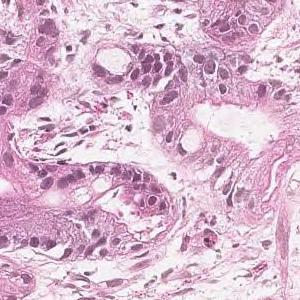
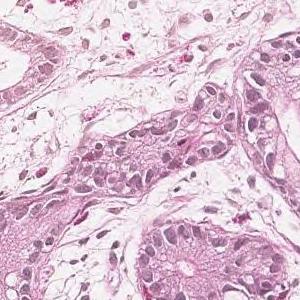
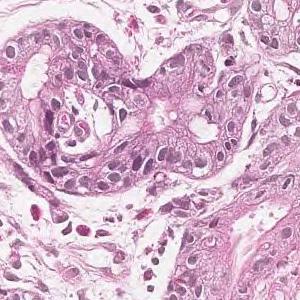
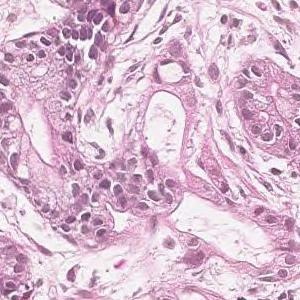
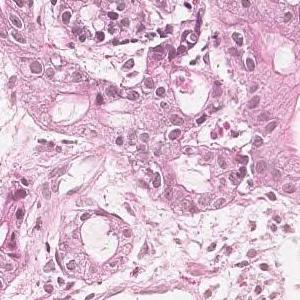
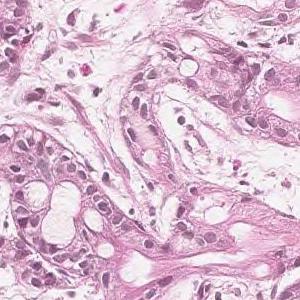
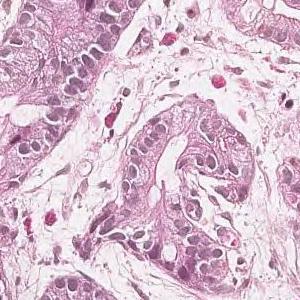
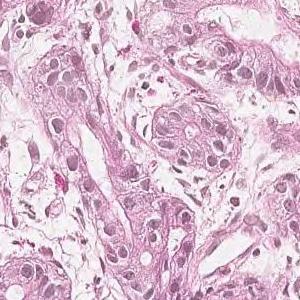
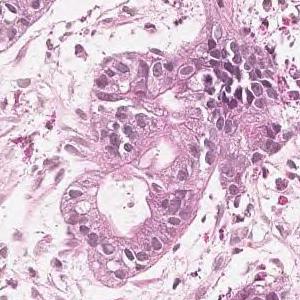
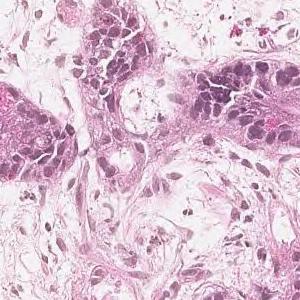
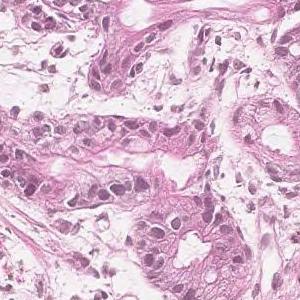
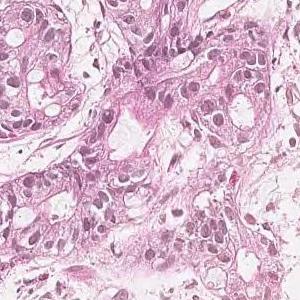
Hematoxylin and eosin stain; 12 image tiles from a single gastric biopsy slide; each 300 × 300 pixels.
Diagnostic report for the slide these tiles come from. The findings and the diagnosis refer to the entire slide; these tiles show only part of it, possibly with non-tumor tissue, and may not show every feature named.
On the superficial epithelium, tumor tissue that infiltrates by forming medium-sized papillary or small irregular ducts is observed. Papillary adenocarcinoma
